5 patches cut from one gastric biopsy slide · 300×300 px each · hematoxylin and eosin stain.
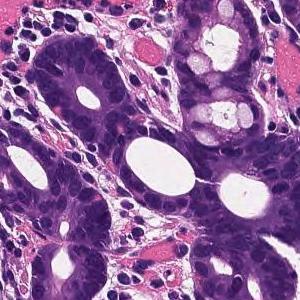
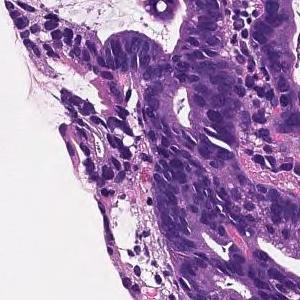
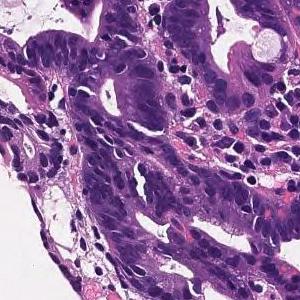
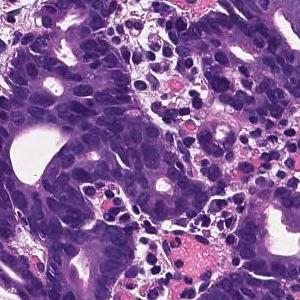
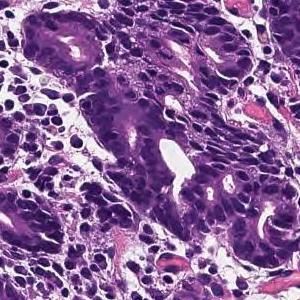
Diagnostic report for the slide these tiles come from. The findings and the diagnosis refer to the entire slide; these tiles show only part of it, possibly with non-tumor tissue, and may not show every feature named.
On the superficial epithelium, tumor tissue is found in which medium-sized irregular gland ducts fuse with each other and infiltrate. moderately differentiated tubular adenocarcinoma
